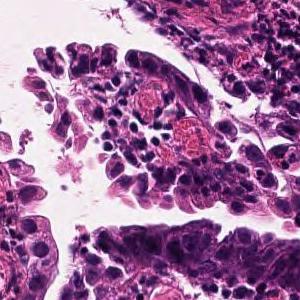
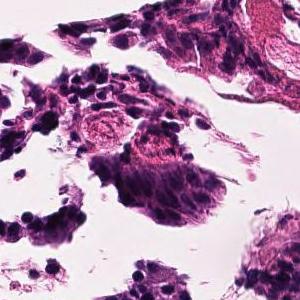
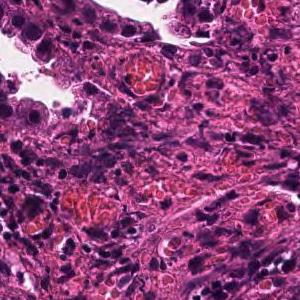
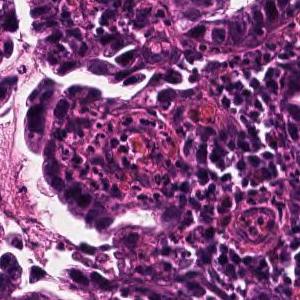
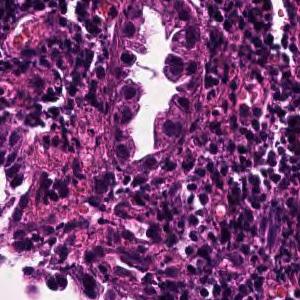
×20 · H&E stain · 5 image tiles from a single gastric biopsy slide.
Pathology report for the biopsy slide these tiles were cut from. What the report and the diagnosis say applies to the whole slide; these tiles may miss some of the features named and may include tissue that is not tumor.
Tumor tissue consisting of large papillary structures is found in the superficial epithelium. Papillary adenocarcinoma.
